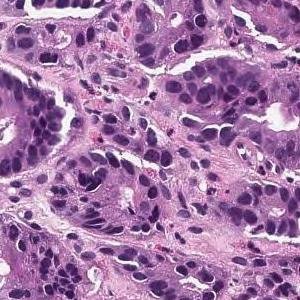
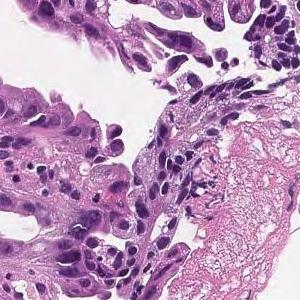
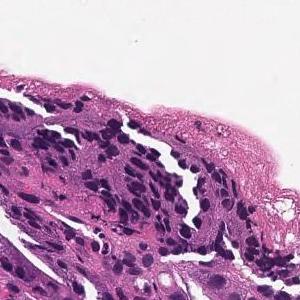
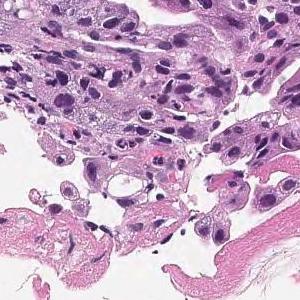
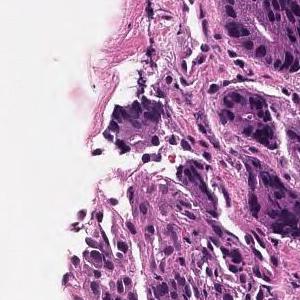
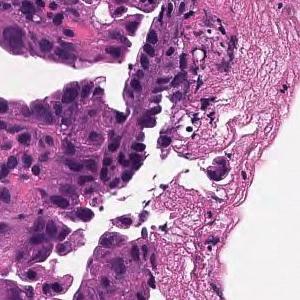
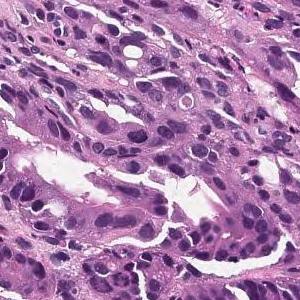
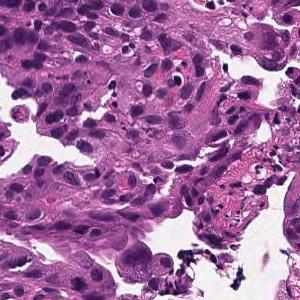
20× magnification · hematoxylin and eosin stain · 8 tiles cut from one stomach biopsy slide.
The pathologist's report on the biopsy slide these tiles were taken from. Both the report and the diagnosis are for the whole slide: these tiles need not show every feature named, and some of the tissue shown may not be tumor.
From the superficial epithelium to the muscularis mucosae, tumor tissue consisting of medium-sized and irregular glandular ducts infiltrating is observed. Well differentiated tubular adenocarcinoma
